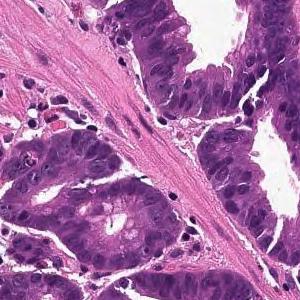
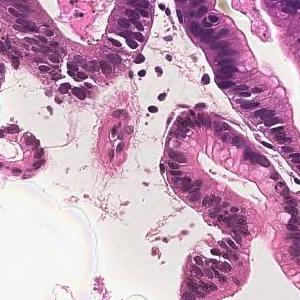
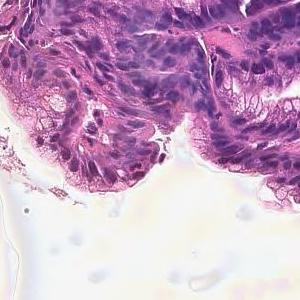
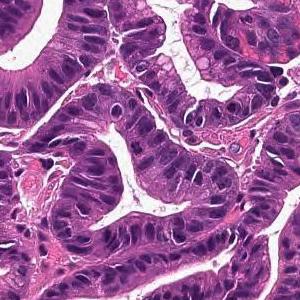
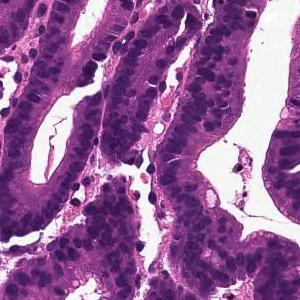
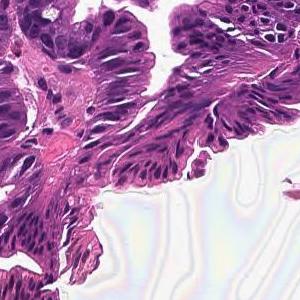
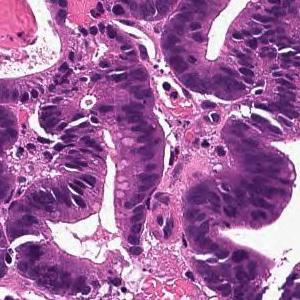
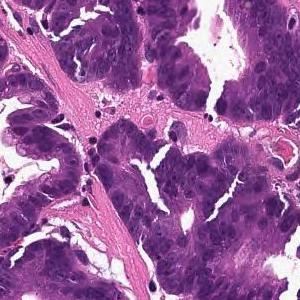
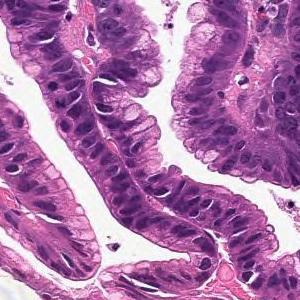
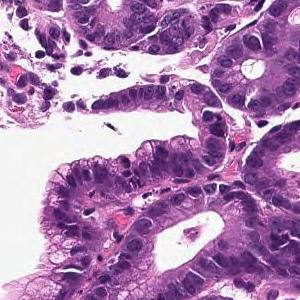
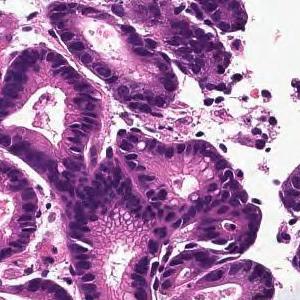
H&E, 11 tiles from the same stomach biopsy slide, each 300 × 300 pixels.
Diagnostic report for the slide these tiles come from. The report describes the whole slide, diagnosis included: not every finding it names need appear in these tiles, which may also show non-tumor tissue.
From the superficial epithelium to the muscularis mucosae, tumor tissue consisting of medium-sized and irregular glandular ducts infiltrating is observed. Well differentiated tubular adenocarcinoma
